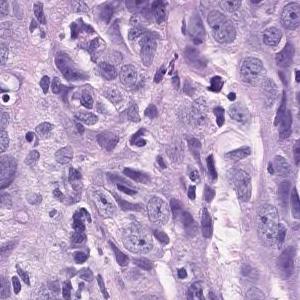
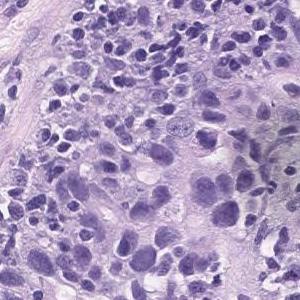
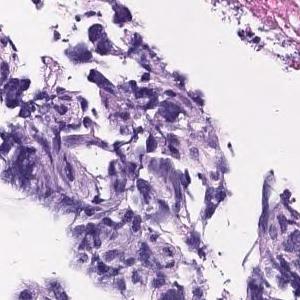
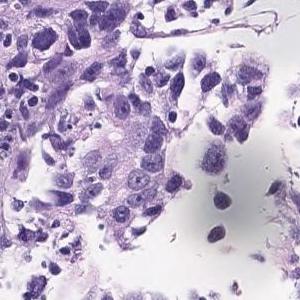
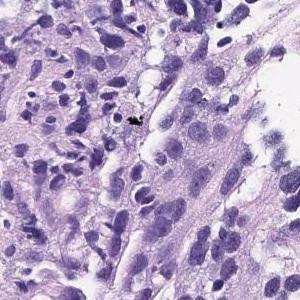
Hematoxylin and eosin stain, 5 tiles from the same stomach biopsy slide, 300 × 300 pixels each.
Pathology report for the biopsy slide these tiles were cut from. Both the report and the diagnosis are for the whole slide: these tiles need not show every feature named, and some of the tissue shown may not be tumor.
The superficial epithelium shows a large sheet-like shape, and some tumor tissue infiltrates with small irregular ducts. Poorly differentiated adenocarcinoma, solid-type
Histological subtype: Poorly differentiated adenocarcinoma, solid type, a category of the Japanese Classification of Gastric Carcinoma; in the WHO 2019 classification it is tubular adenocarcinoma, poorly differentiated.
